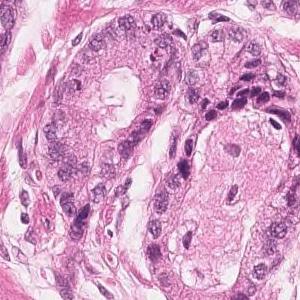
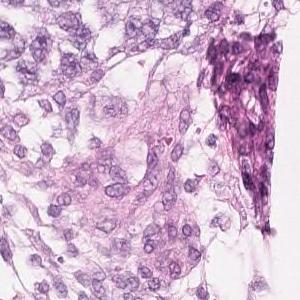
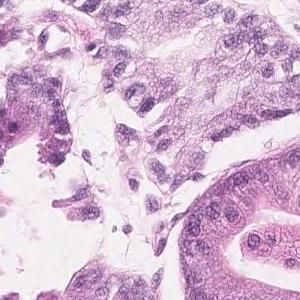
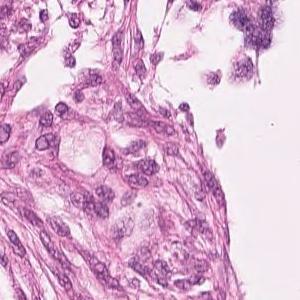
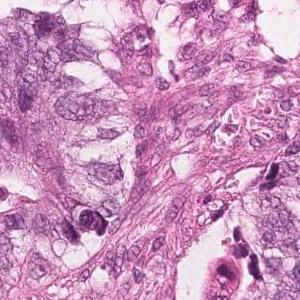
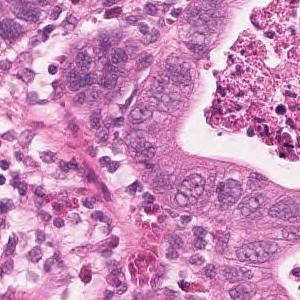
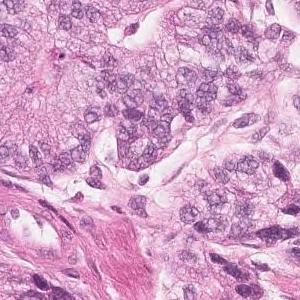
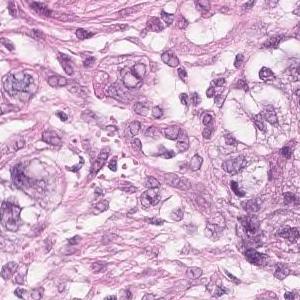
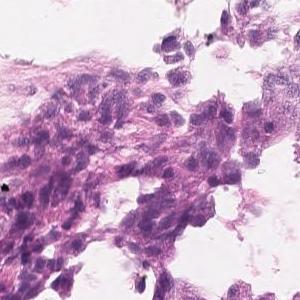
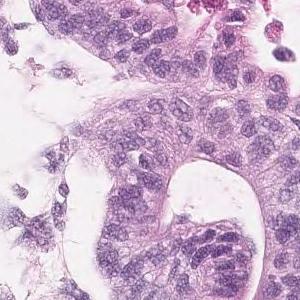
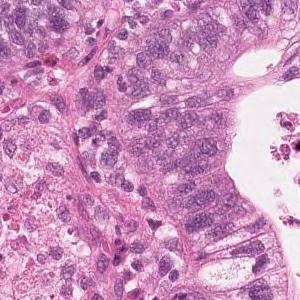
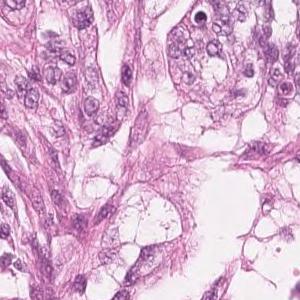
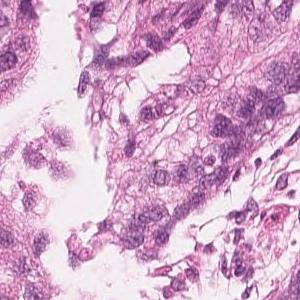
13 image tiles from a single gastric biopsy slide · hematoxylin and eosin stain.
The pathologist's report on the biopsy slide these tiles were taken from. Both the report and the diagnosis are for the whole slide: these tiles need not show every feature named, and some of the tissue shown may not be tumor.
Highly columnar epithelium with disordered nuclear localization proliferates showing fusion ductal construction. moderately differentiated tubular adenocarcinoma
